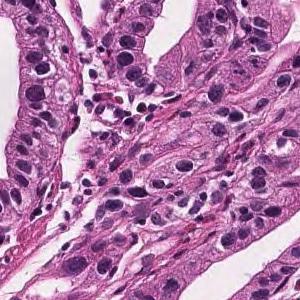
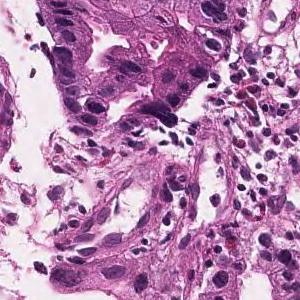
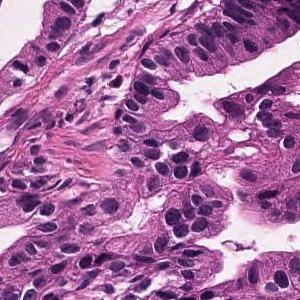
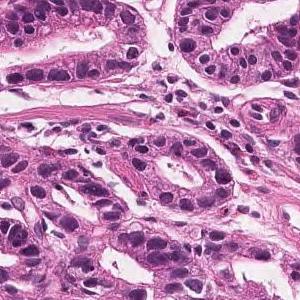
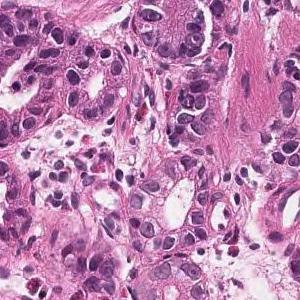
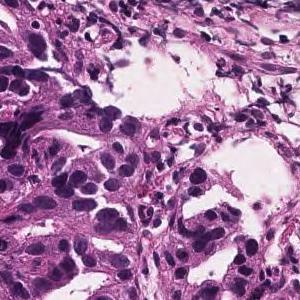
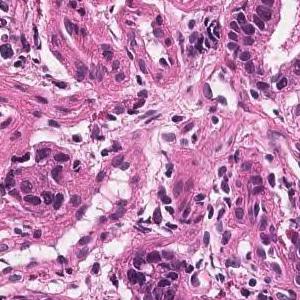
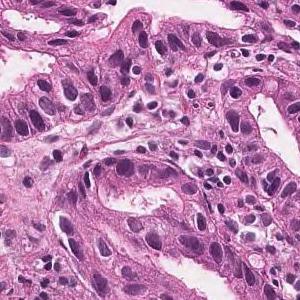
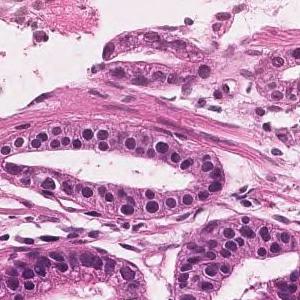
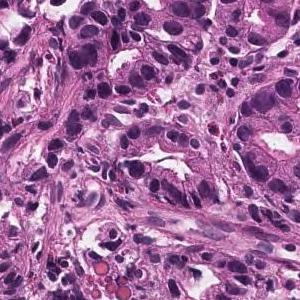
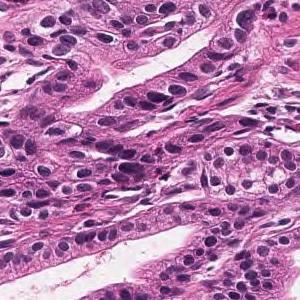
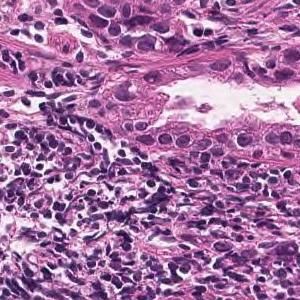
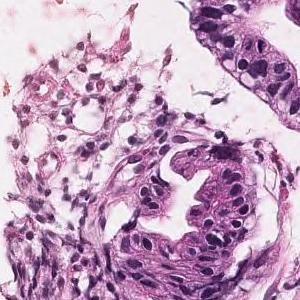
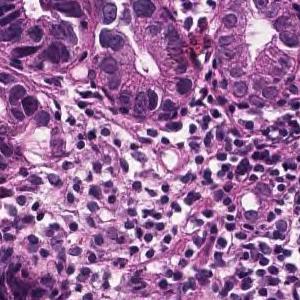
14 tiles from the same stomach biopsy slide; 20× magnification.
Pathology report for the slide these tiles were cut from. The report describes the whole slide, diagnosis included: not every finding it names need appear in these tiles, which may also show non-tumor tissue.
Tumor tissue consisting of medium-sized and irregular ducts is observed infiltrating in the superficial epithelium. Tumor cells are highly columnar, with nuclei aligned basolaterally and polarized. Well differentiated tubular adenocarcinoma.
